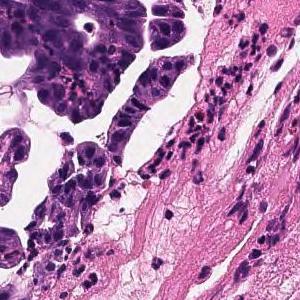
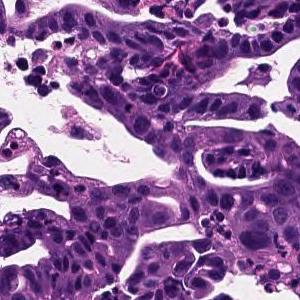
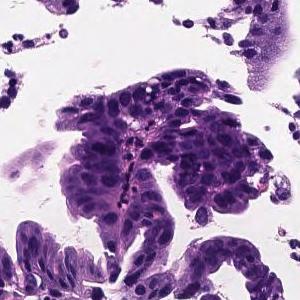
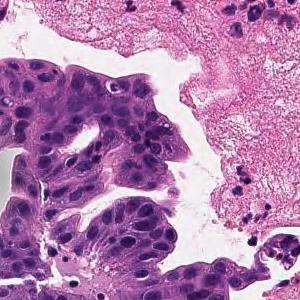
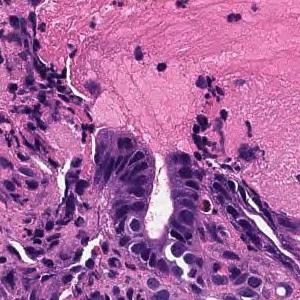
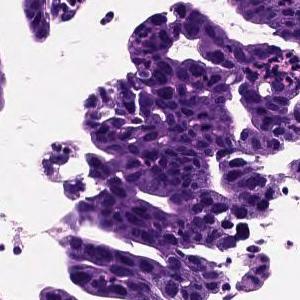
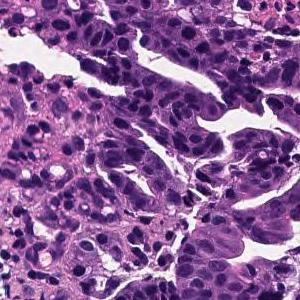
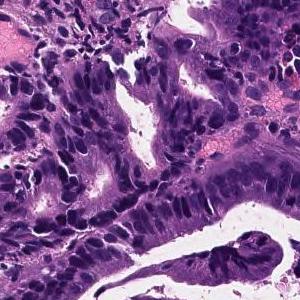
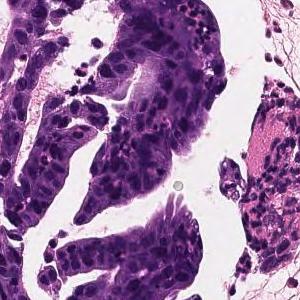
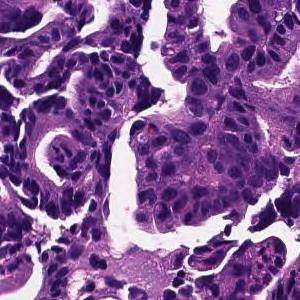
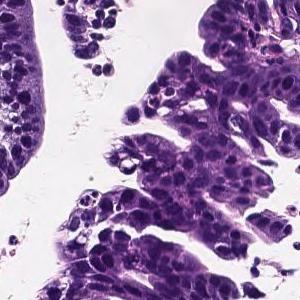
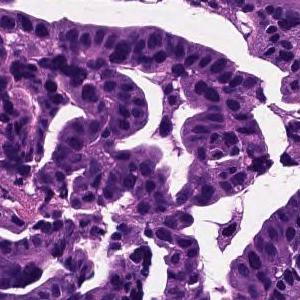
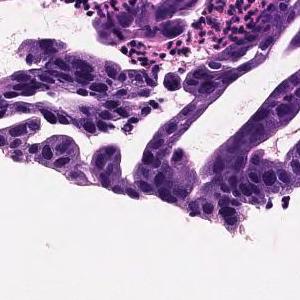
13 image tiles from a single gastric biopsy slide · 300×300 px each · scanned at ×20.
The pathologist's report on the biopsy slide these tiles were taken from. What the report and the diagnosis say applies to the whole slide; these tiles may miss some of the features named and may include tissue that is not tumor.
Tumor cells are large, highly columnar, large club-shaped nuclei, and are associated with chromatin aggregation. Papillary adenocarcinoma.
